11 tiles from the same stomach biopsy slide.
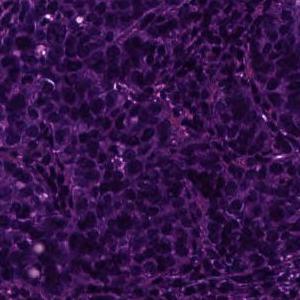
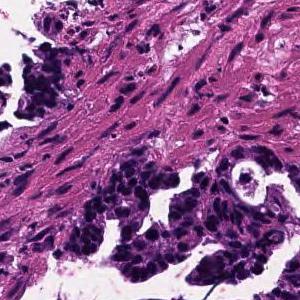
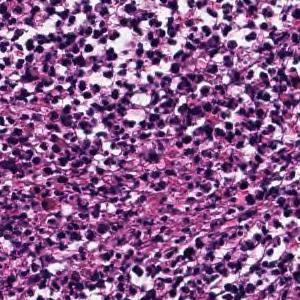
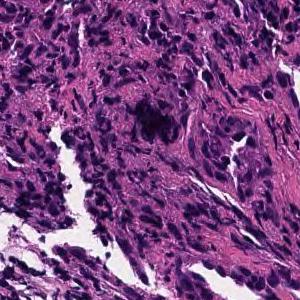
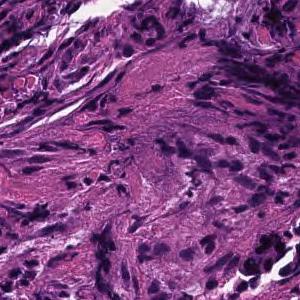
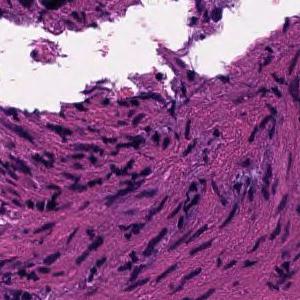
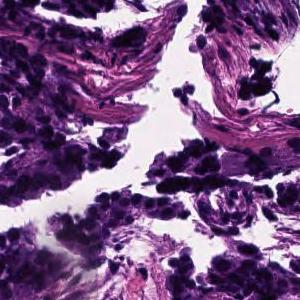
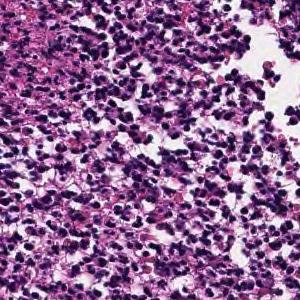
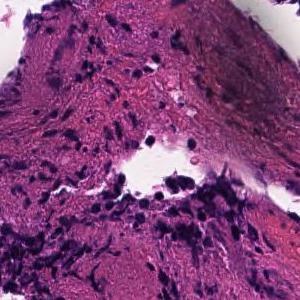
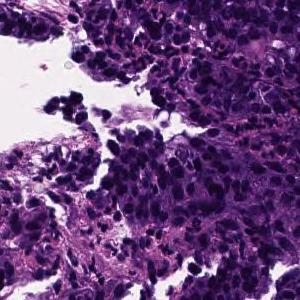
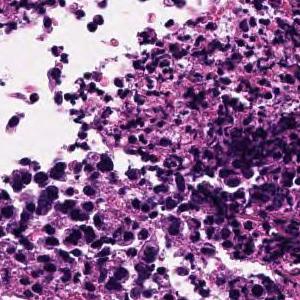
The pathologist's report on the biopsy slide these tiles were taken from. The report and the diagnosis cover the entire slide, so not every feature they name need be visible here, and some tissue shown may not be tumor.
In the superficial epithelium, tumor tissue that invades by forming medium-sized to small, irregular ducts is observed. moderately differentiated tubular adenocarcinoma.
